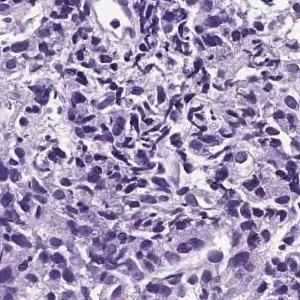
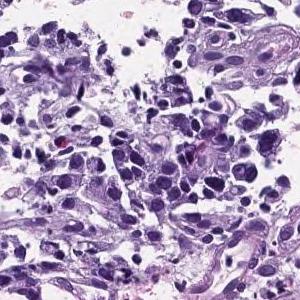
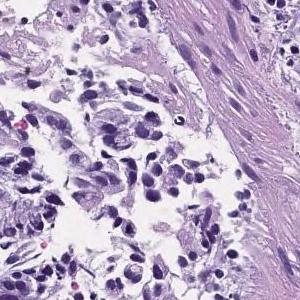
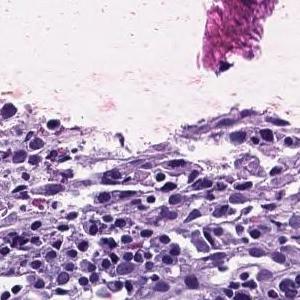
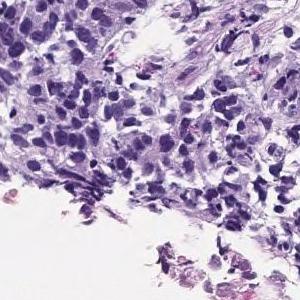
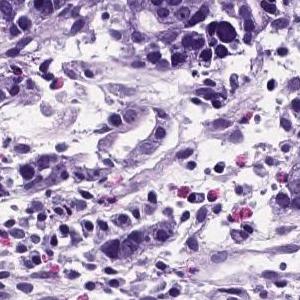
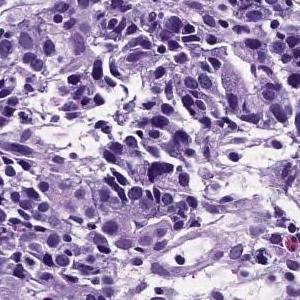
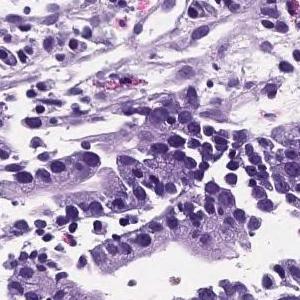
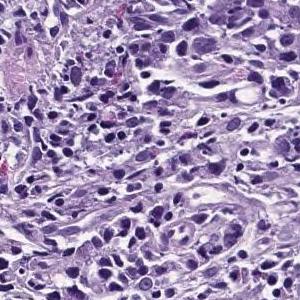
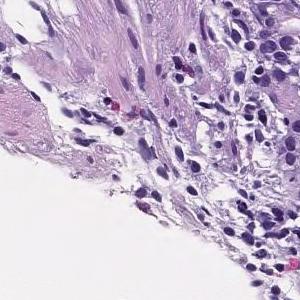
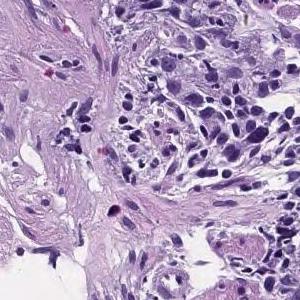
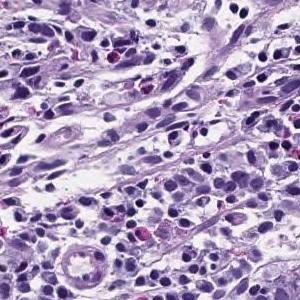
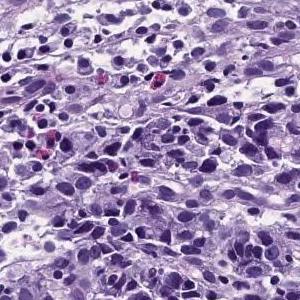
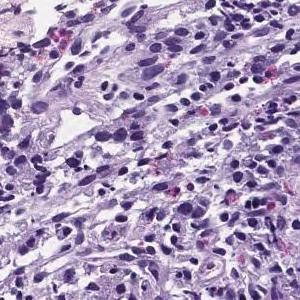
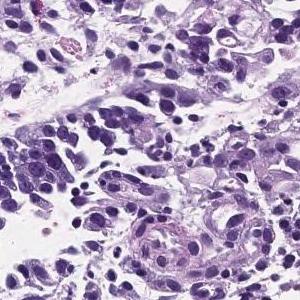
×20; 15 tiles from the same stomach biopsy slide; each 300 × 300 pixels.
The pathologist's report on the biopsy slide these tiles were taken from. What the report and the diagnosis say applies to the whole slide; these tiles may miss some of the features named and may include tissue that is not tumor.
Tumor tissue consisting of medium-sized, cord-like or irregular glandular infiltration is observed in the superficial epithelium. Poorly differentiated adenocarcinoma, non-solid type or moderately differentiated tubular adenocarcinoma
Histological subtype: Moderately to poorly differentiated adenocarcinoma.
"Non-solid type" is a category of the Japanese Classification of Gastric Carcinoma.
